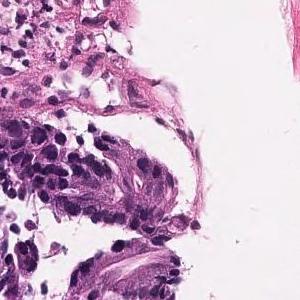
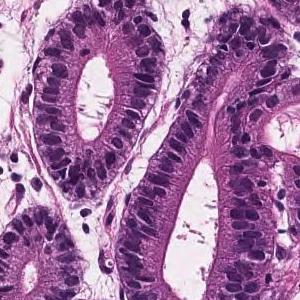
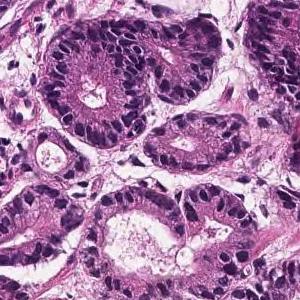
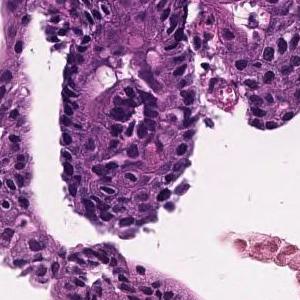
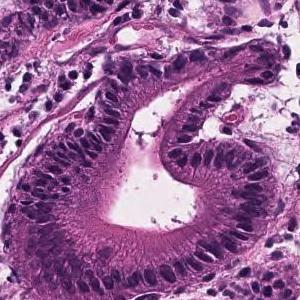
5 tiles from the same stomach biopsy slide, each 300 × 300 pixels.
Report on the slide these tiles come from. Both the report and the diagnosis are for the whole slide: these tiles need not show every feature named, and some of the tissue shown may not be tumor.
Tumor tissue with atypical epithelium showing irregular ductal or sieving ductal structure and proliferating is observed. Well to moderately differentiated tubular adenocarcinoma (well differentiated tubular adenocarcinoma-moderately differentiated tubular adenocarcinoma)
Histologic type: Well to moderately differentiated tubular adenocarcinoma.
